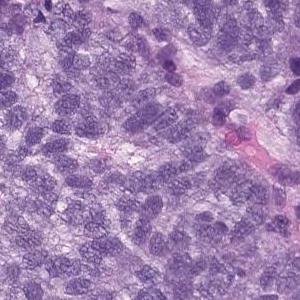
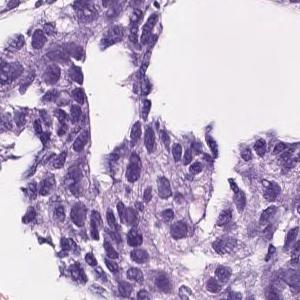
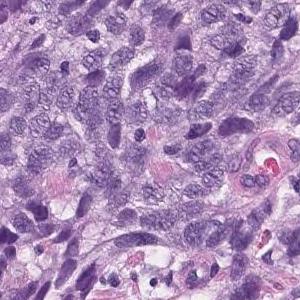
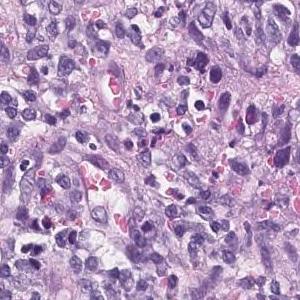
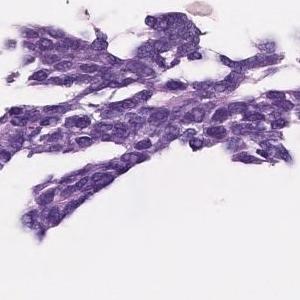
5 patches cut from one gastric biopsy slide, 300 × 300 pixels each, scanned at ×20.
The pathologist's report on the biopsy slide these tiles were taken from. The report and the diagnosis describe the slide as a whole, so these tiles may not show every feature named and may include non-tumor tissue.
Epithelial cells with swollen nuclei with atypia invasively proliferating while forming vesicles is observed. Poorly differentiated adenocarcinoma
Subtype: Poorly differentiated adenocarcinoma, solid type. This name comes from the Japanese Classification of Gastric Carcinoma; the WHO 2019 classification calls it tubular adenocarcinoma, poorly differentiated.
